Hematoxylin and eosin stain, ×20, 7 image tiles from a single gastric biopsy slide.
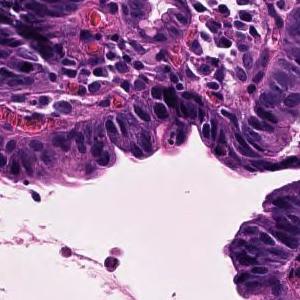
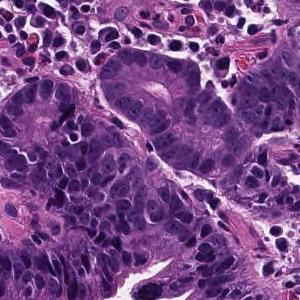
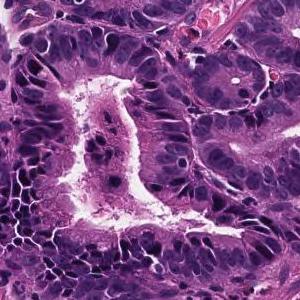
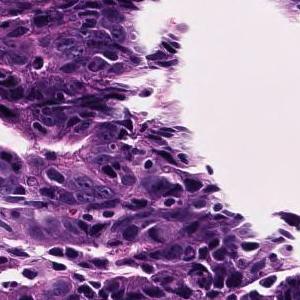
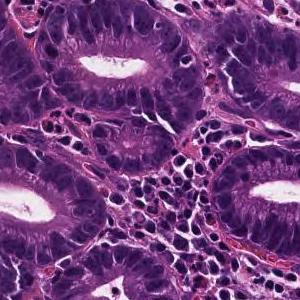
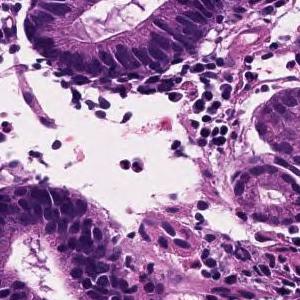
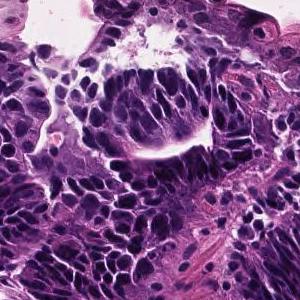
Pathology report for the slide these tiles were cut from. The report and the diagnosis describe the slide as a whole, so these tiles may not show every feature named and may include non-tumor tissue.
On the superficial epithelium, tumor tissue consisting of growth of medium-sized to large-sized, round or irregular glandular ducts is observed. Well differentiated tubular adenocarcinoma
